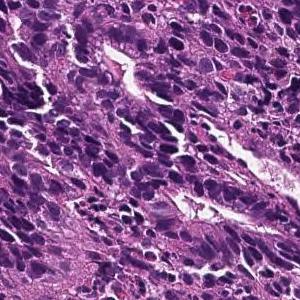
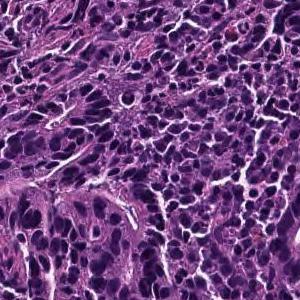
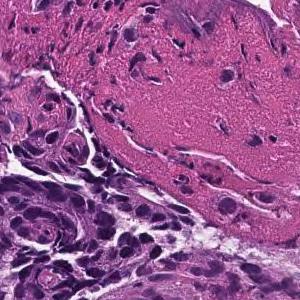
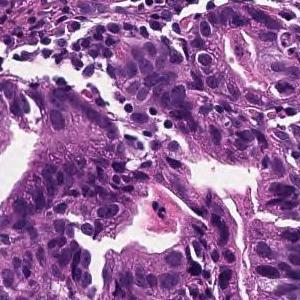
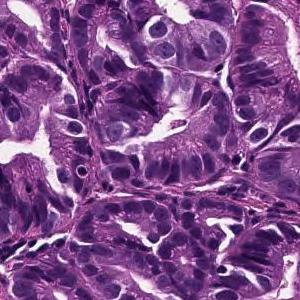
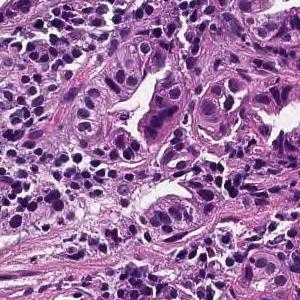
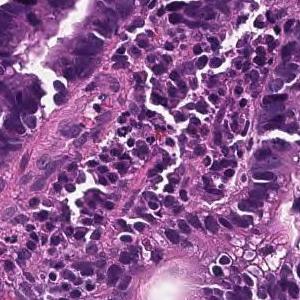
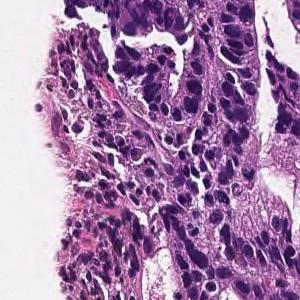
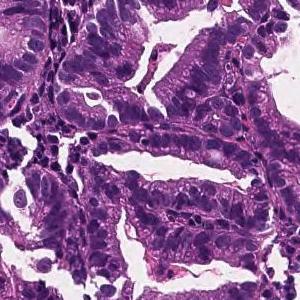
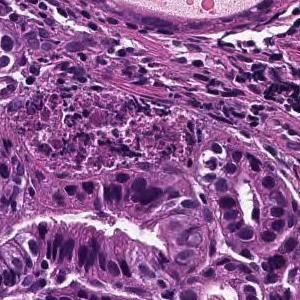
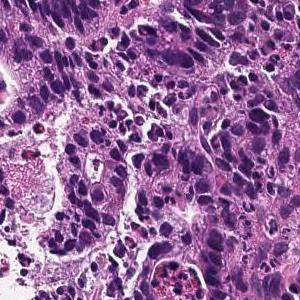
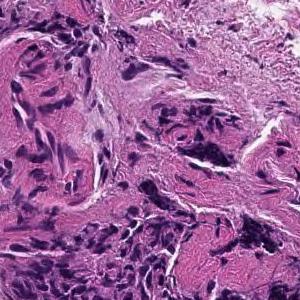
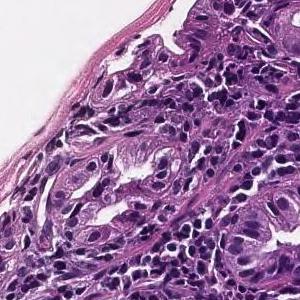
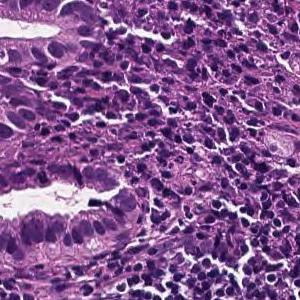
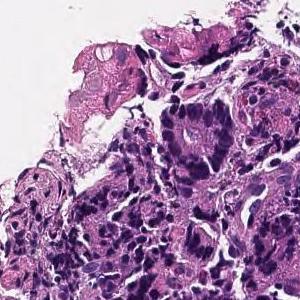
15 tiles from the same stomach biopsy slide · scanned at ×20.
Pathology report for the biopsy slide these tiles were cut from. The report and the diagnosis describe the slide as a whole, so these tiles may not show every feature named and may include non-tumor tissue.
On the superficial epithelium, tumor tissue consisting of large irregular glandular ducts partially fused and infiltrated is observed. Well to moderately differentiated tubular adenocarcinoma (well differentiated tubular adenocarcinoma, moderately differentiated tubular adenocarcinoma)
Tumor subtype: well to moderately differentiated tubular adenocarcinoma.
